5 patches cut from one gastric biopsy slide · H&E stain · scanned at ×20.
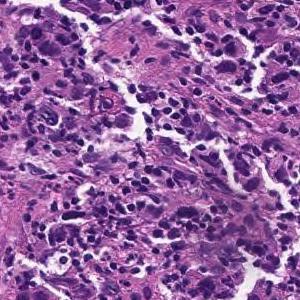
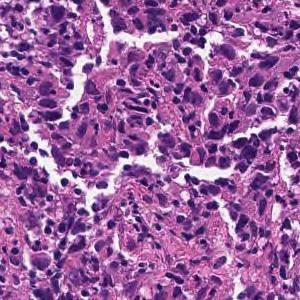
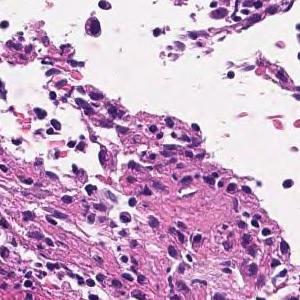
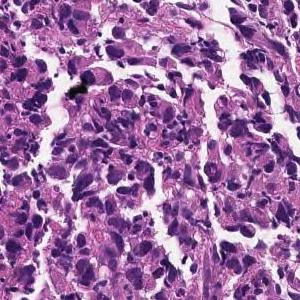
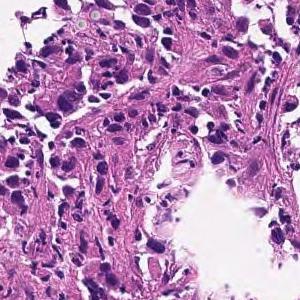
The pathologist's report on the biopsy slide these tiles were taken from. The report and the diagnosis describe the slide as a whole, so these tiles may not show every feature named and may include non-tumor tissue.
The superficial epithelium shows a large sheet-like shape, and some tumor tissue infiltrates with small irregular ducts. Poorly differentiated adenocarcinoma, solid-type (poorly differentiated adenocarcinoma, solid type)
Histologic type: Poorly differentiated adenocarcinoma, solid type, a category of the Japanese Classification of Gastric Carcinoma; in the WHO 2019 classification it is tubular adenocarcinoma, poorly differentiated.
